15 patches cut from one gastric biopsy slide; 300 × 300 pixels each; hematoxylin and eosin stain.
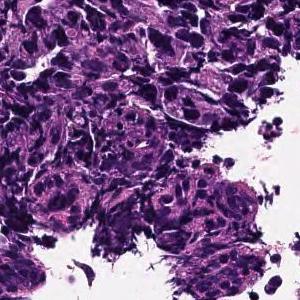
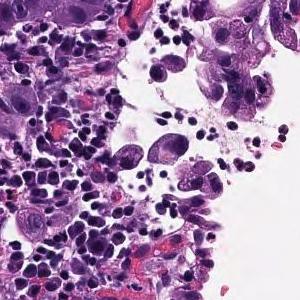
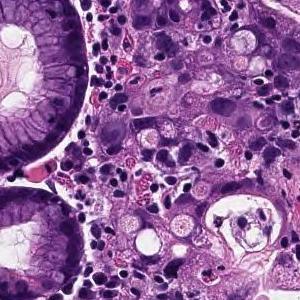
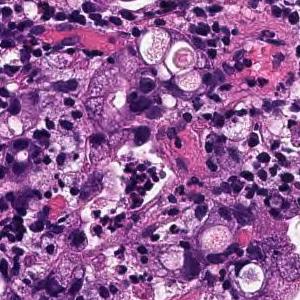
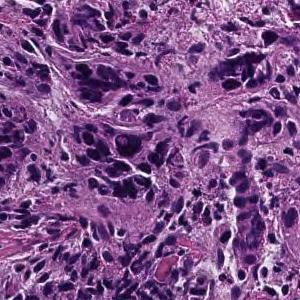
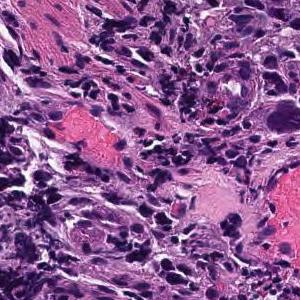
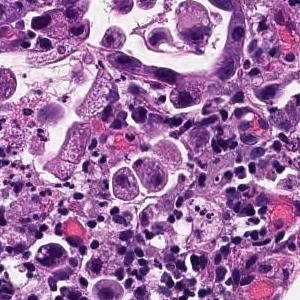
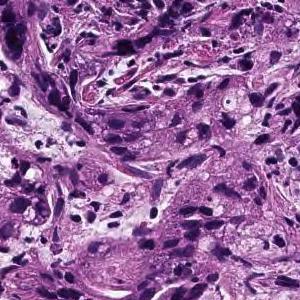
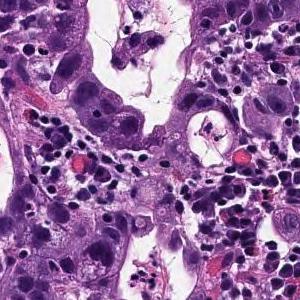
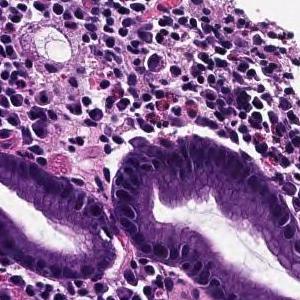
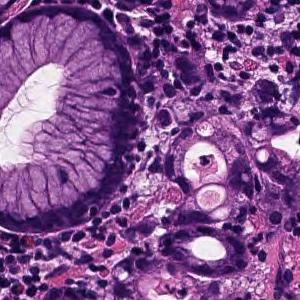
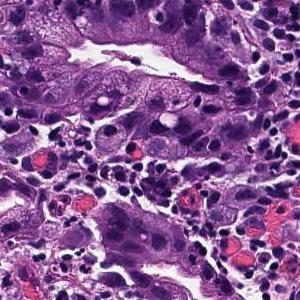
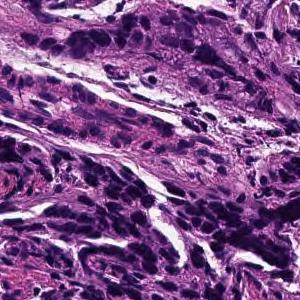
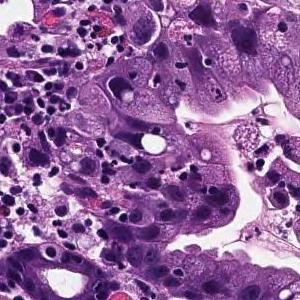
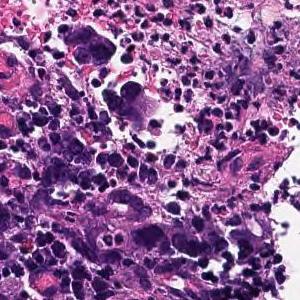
Diagnostic report for the slide these tiles come from. The report describes the whole slide, diagnosis included: not every finding it names need appear in these tiles, which may also show non-tumor tissue.
Tumor tissue consisting of medium-sized, cord-like or irregular glandular infiltration is observed in the superficial epithelium. Poorly differentiated adenocarcinoma, non-solid type or moderately differentiated tubular adenocarcinoma
Histological subtype: Moderately to poorly differentiated adenocarcinoma.
The non-solid type named here is a Japanese Classification of Gastric Carcinoma category.
